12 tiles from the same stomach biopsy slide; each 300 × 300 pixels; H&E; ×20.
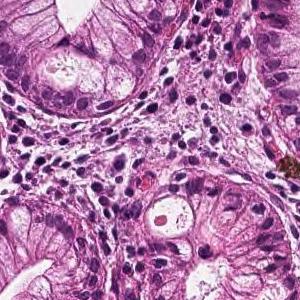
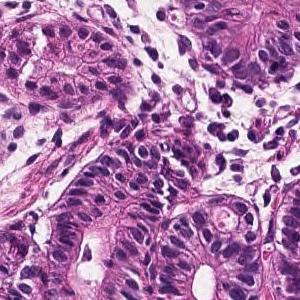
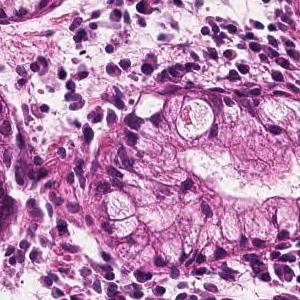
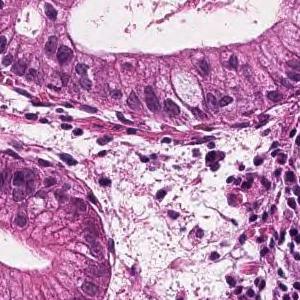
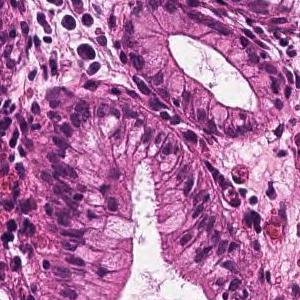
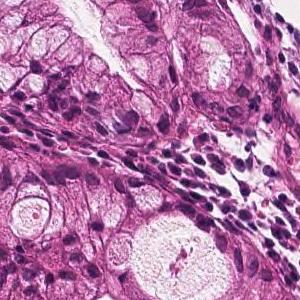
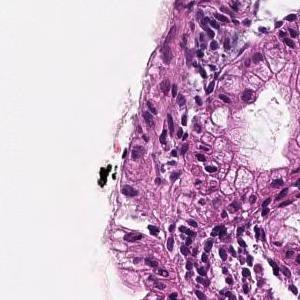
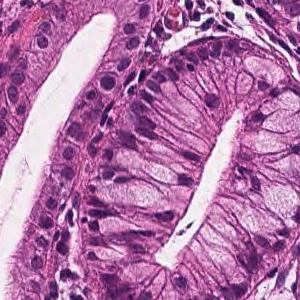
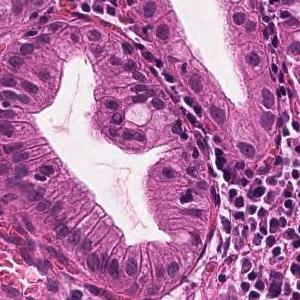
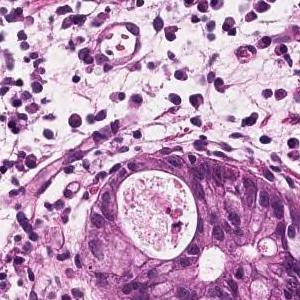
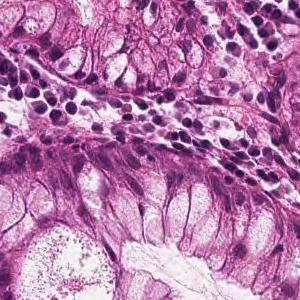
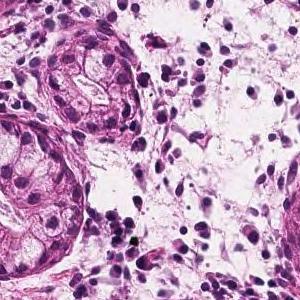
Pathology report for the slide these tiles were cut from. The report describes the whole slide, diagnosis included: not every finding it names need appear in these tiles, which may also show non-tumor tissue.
In the superficial epithelium, tumor tissue that invades by forming medium-sized to small, irregular ducts is observed. Well differentiated tubular adenocarcinoma.
